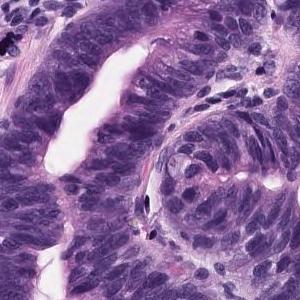
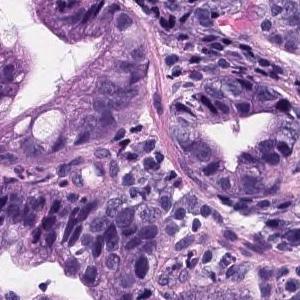
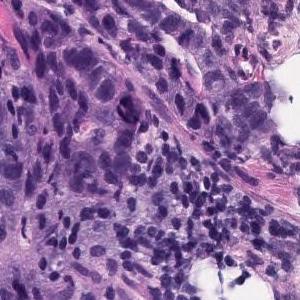
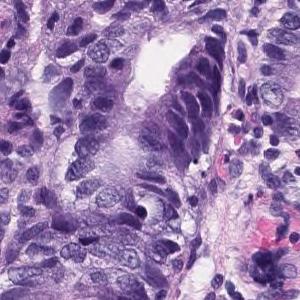
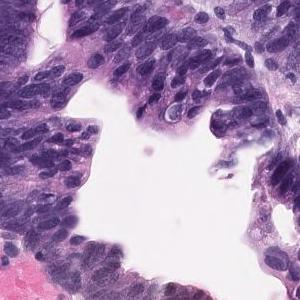
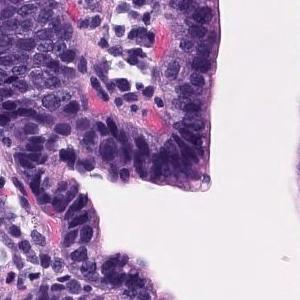
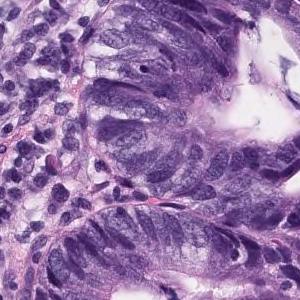
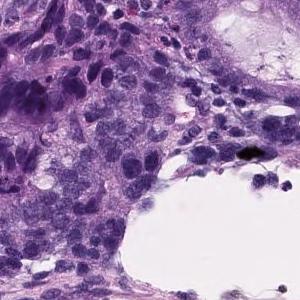
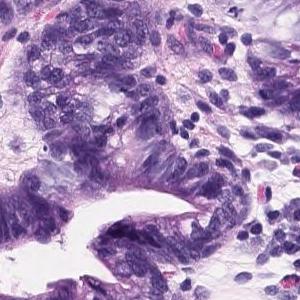
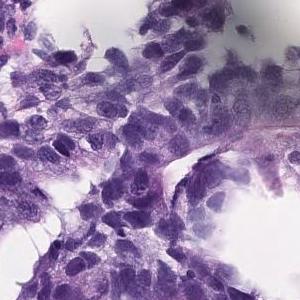
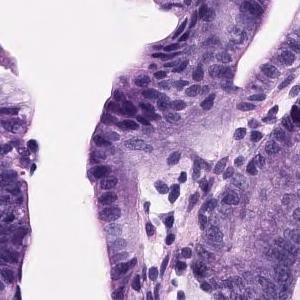
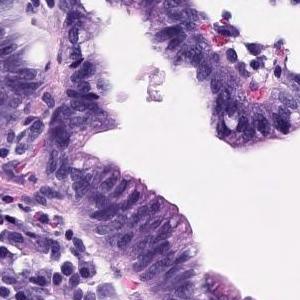
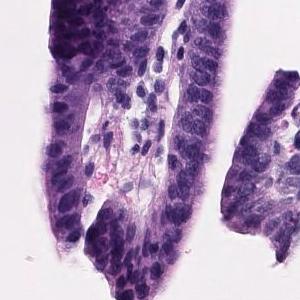
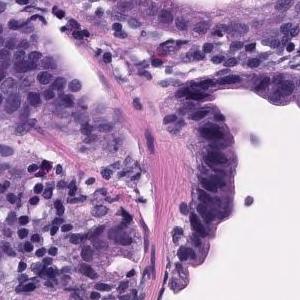
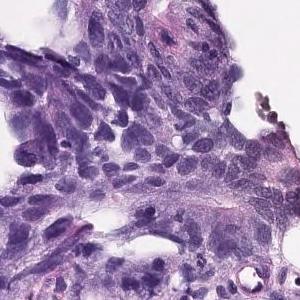
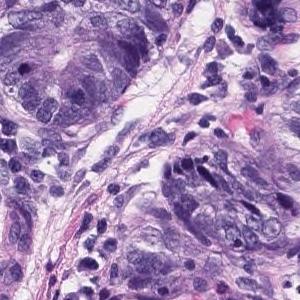
16 tiles from the same stomach biopsy slide; 20× magnification; H&E stain.
Report on the slide these tiles come from. The report and the diagnosis cover the entire slide, so not every feature they name need be visible here, and some tissue shown may not be tumor.
Tumor tissue consisting of medium-sized and irregular ducts is observed infiltrating in the superficial epithelium. Tumor cells are highly columnar, with nuclei aligned basolaterally and polarized. Well differentiated tubular adenocarcinoma.
